4 patches cut from one gastric biopsy slide, 300 × 300 pixels each, H&E stain, scanned at ×20.
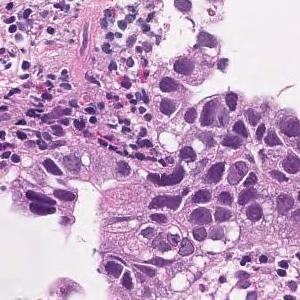
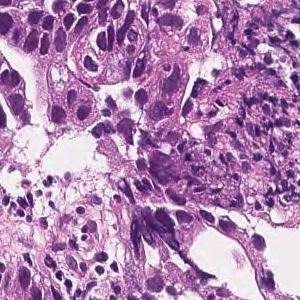
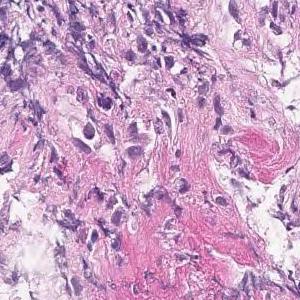
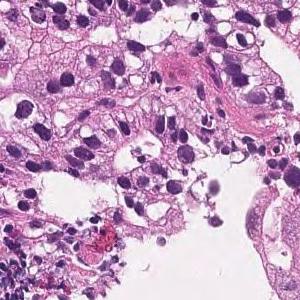
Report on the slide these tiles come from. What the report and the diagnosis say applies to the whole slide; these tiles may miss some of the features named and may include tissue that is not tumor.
In the superficial epithelium, tumor tissue that invades by forming medium-sized to small, irregular ducts is observed. moderately differentiated tubular adenocarcinoma.
